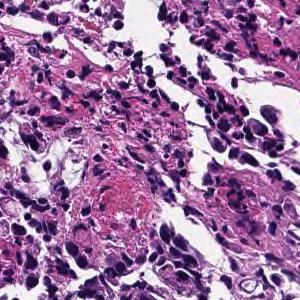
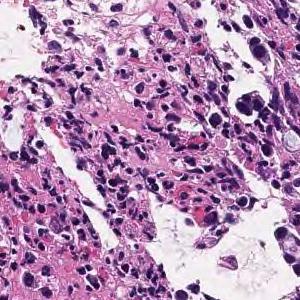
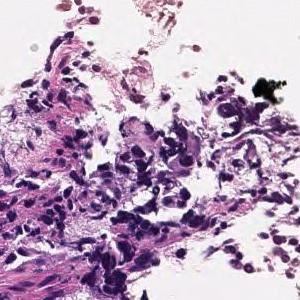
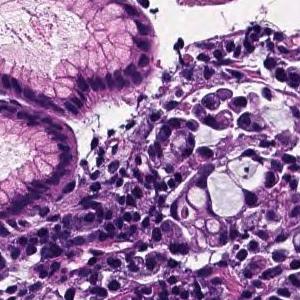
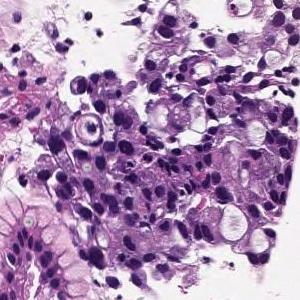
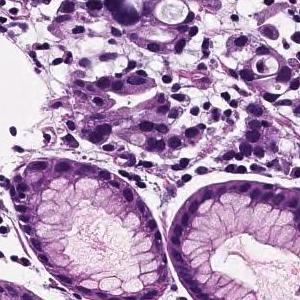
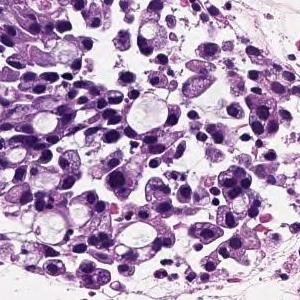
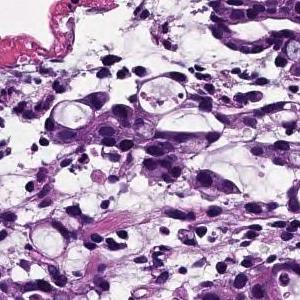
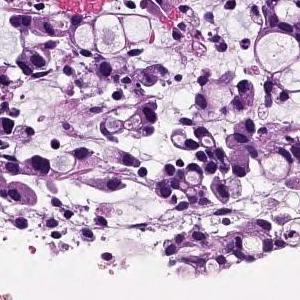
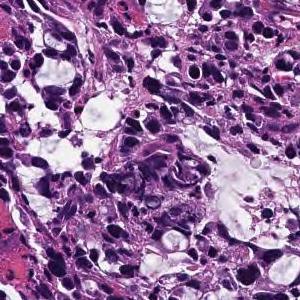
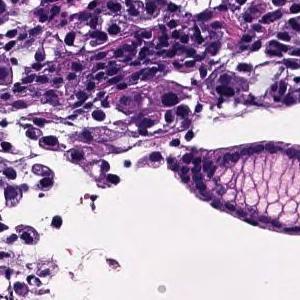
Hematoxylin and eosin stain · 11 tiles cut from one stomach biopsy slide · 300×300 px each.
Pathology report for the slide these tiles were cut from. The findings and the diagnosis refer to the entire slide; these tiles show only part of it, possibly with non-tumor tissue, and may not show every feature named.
Tumor tissue consisting of cord-like or small, irregular glandular ducts fused and infiltrated is observed in the superficial epithelium. Poorly differentiated adenocarcinoma, non-solid type
The term "non-solid type" comes from the Japanese Classification of Gastric Carcinoma.
